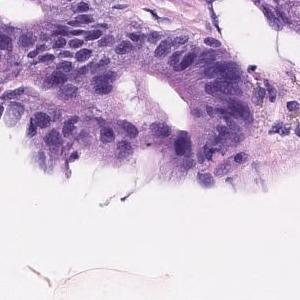
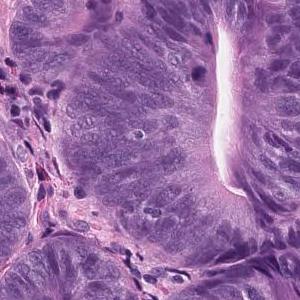
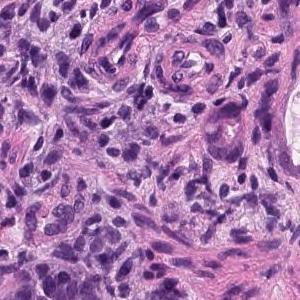
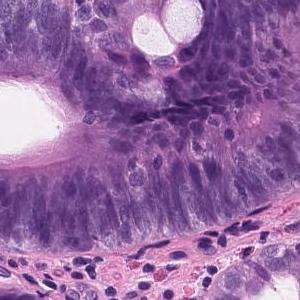
Hematoxylin and eosin stain · 4 tiles cut from one stomach biopsy slide · 300×300 px each.
Diagnostic report for the slide these tiles come from. The report and the diagnosis cover the entire slide, so not every feature they name need be visible here, and some tissue shown may not be tumor.
On the superficial epithelium, tumor tissue with densely growing medium to large, round tubules is observed. Tumor cells are highly columnar, with nuclei aligned basolaterally and polarized. Well differentiated tubular adenocarcinoma
